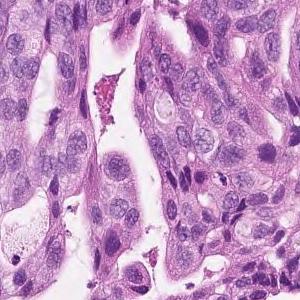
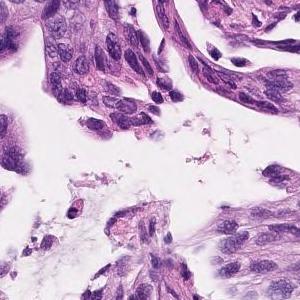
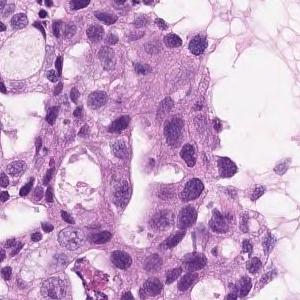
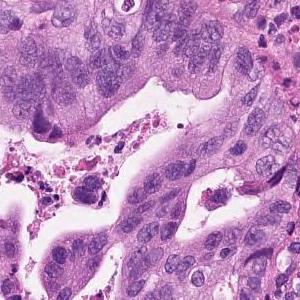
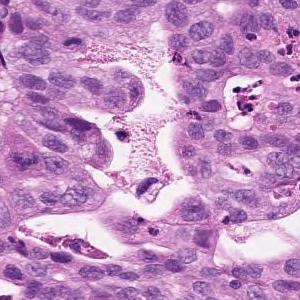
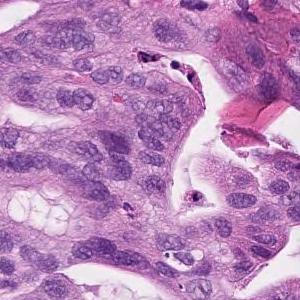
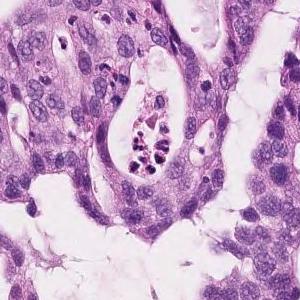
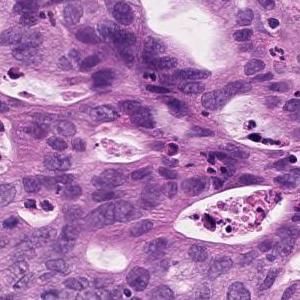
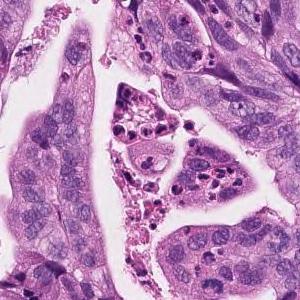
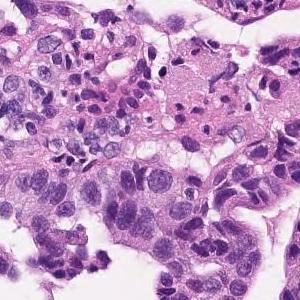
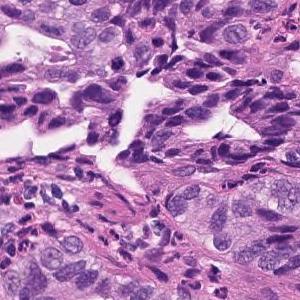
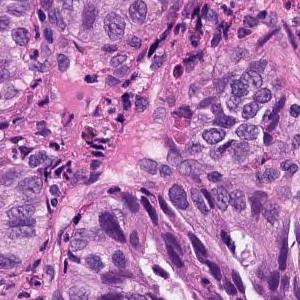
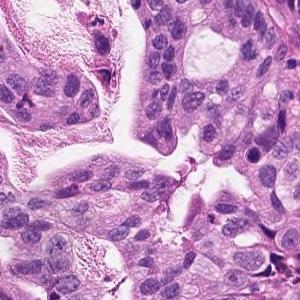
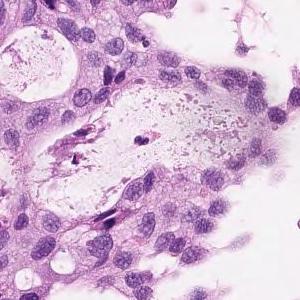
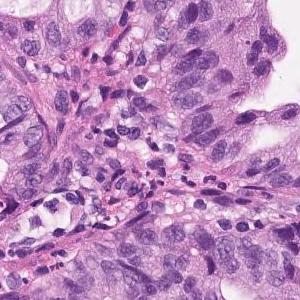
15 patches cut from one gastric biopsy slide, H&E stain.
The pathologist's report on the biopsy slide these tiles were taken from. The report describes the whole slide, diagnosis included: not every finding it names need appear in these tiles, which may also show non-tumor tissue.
Atypical epithelium forming papillary or sieving ducts and infiltrating growth is observed. Papillary adenocarcinoma.
